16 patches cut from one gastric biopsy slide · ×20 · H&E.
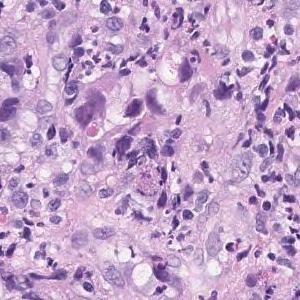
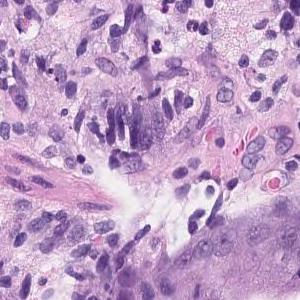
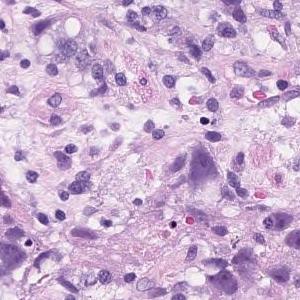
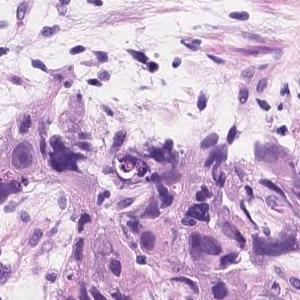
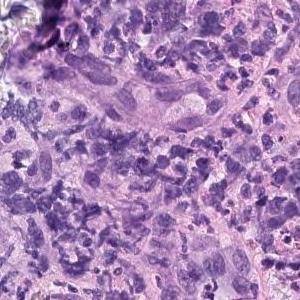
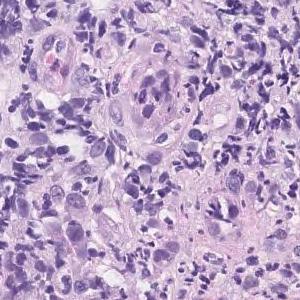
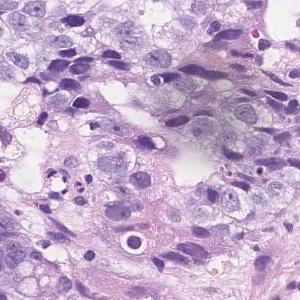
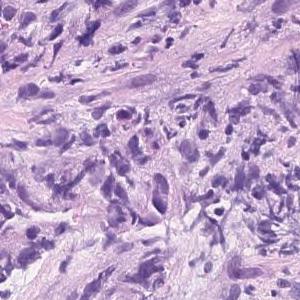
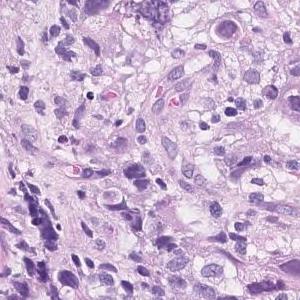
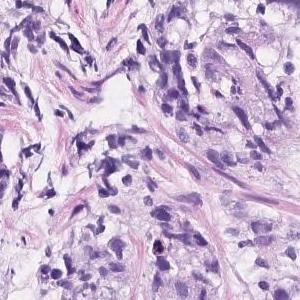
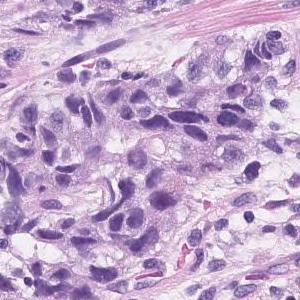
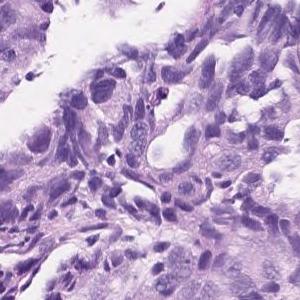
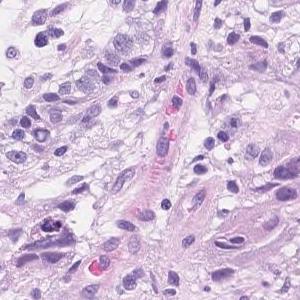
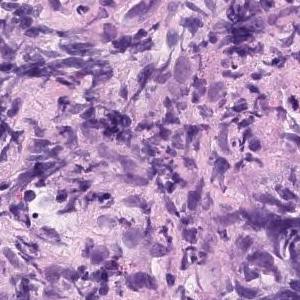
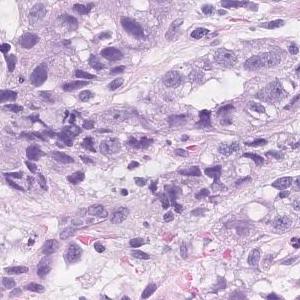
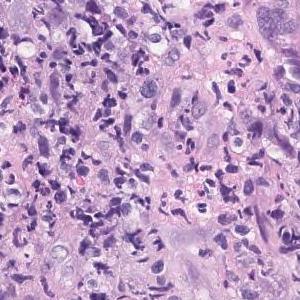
Pathology report for the slide these tiles were cut from. What the report and the diagnosis say applies to the whole slide; these tiles may miss some of the features named and may include tissue that is not tumor.
Atypical epithelial cells infiltrating and proliferating diffusely or while forming vesicles is observed. Poorly differentiated adenocarcinoma (poorly differentiated adenocarcinoma, solid type moderately differentiated tubular adenocarcinoma)
The dataset labels this slide poorly differentiated adenocarcinoma, solid type. This name comes from the Japanese Classification of Gastric Carcinoma; the WHO 2019 classification calls it tubular adenocarcinoma, poorly differentiated.
